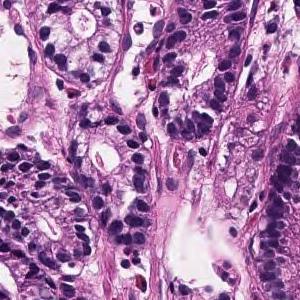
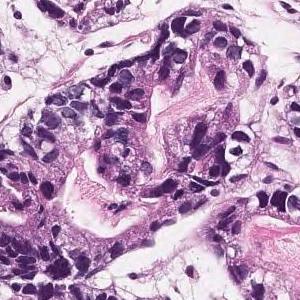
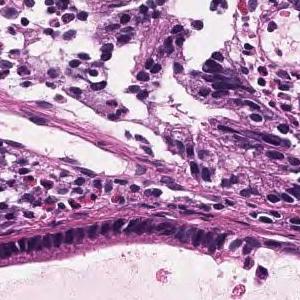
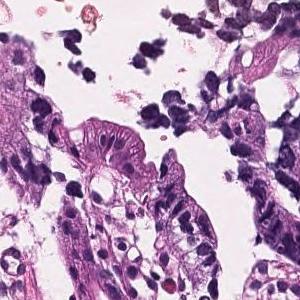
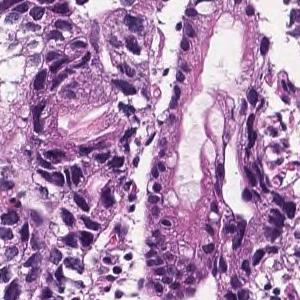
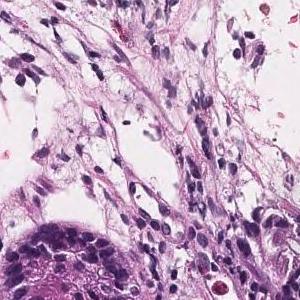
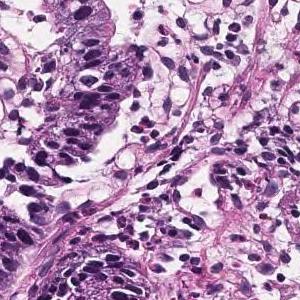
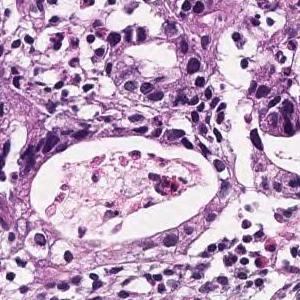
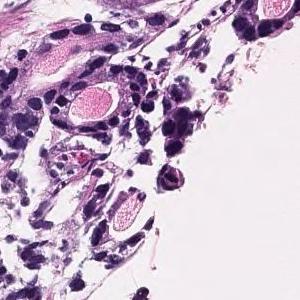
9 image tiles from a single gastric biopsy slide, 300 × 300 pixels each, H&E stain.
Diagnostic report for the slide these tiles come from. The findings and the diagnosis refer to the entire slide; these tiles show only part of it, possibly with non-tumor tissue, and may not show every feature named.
Tumor tissue consisting of medium-sized and irregular ducts is observed infiltrating in the superficial epithelium. Tumor cells are highly columnar, with nuclei aligned basolaterally and polarized. Well differentiated tubular adenocarcinoma.
